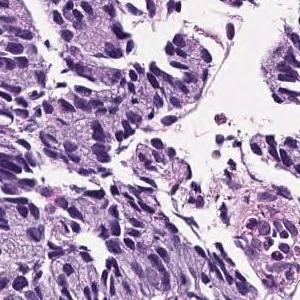
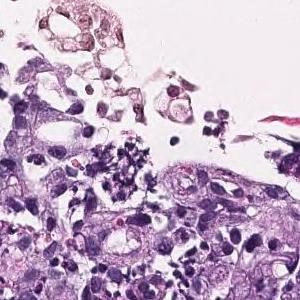
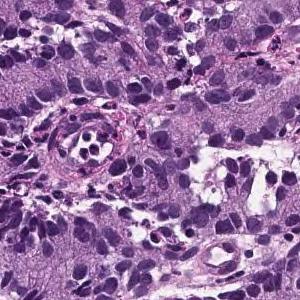
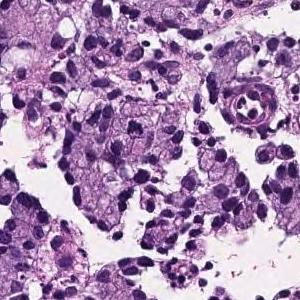
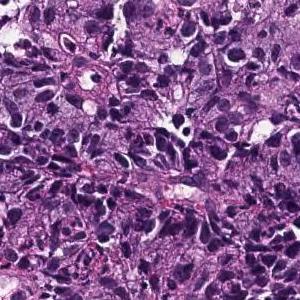
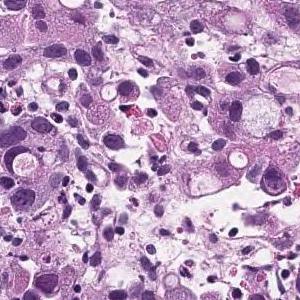
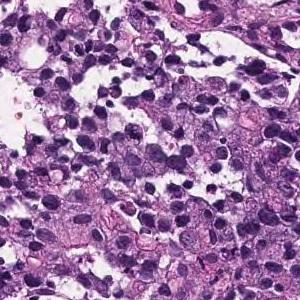
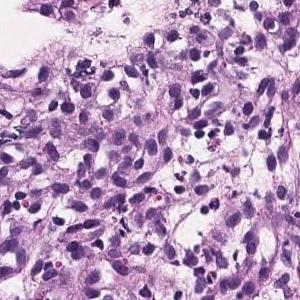
8 image tiles from a single gastric biopsy slide, 300×300 px each, hematoxylin and eosin stain.
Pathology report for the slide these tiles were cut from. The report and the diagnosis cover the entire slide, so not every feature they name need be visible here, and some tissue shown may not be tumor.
Tumor tissue infiltrated by irregular fusion of small cord-like structures is found in the superficial epithelium. Poorly differentiated adenocarcinoma, non-solid type
The non-solid type named here is a Japanese Classification of Gastric Carcinoma category.
